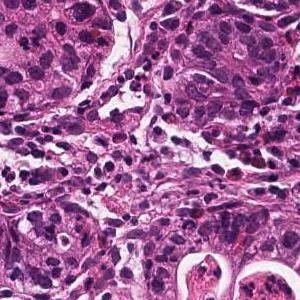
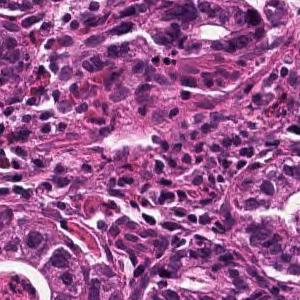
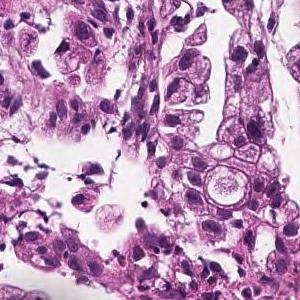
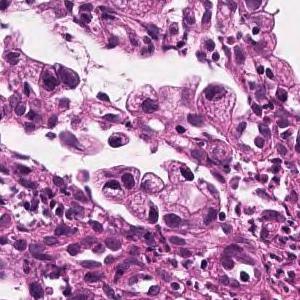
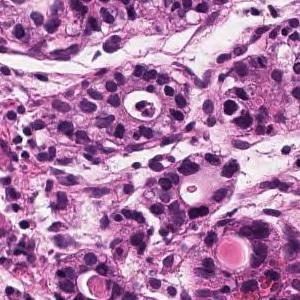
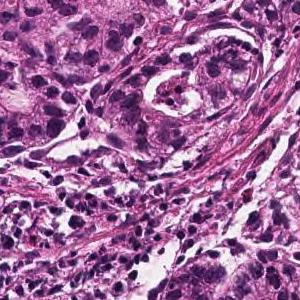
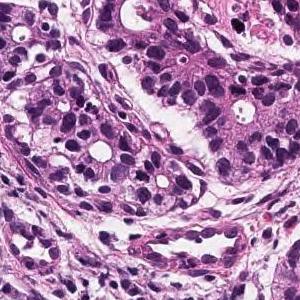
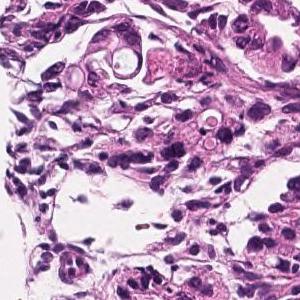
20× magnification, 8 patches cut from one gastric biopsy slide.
Pathology report for the biopsy slide these tiles were cut from. The report and the diagnosis describe the slide as a whole, so these tiles may not show every feature named and may include non-tumor tissue.
Tumor tissue consisting of medium-sized and irregular ducts is observed infiltrating in the superficial epithelium. Tumor cells are highly columnar, with nuclei aligned basolaterally and polarized. Well differentiated tubular adenocarcinoma.
